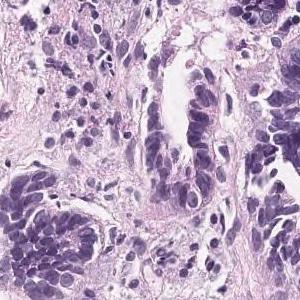
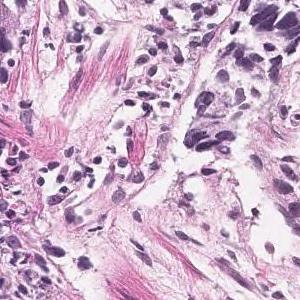
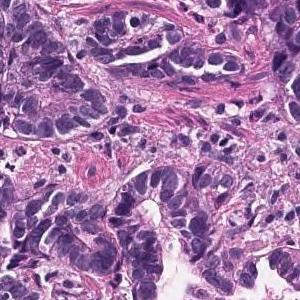
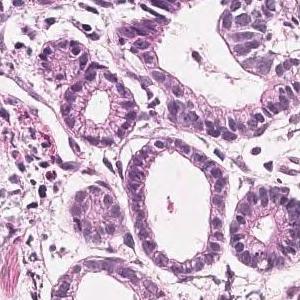
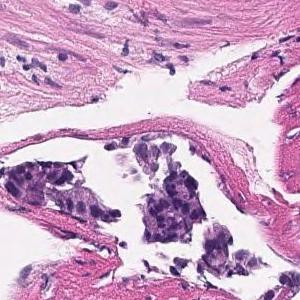
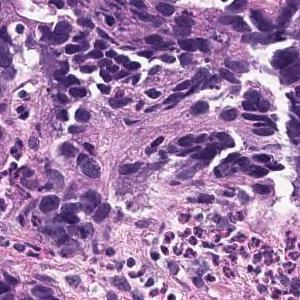
6 tiles cut from one stomach biopsy slide; 300×300 px each; scanned at ×20; H&E.
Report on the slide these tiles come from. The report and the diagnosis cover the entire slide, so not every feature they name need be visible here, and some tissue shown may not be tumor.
In the superficial epithelium, tumor tissue that invades by forming medium-sized to small, irregular ducts is observed. Well differentiated tubular adenocarcinoma.
